Hematoxylin and eosin stain, scanned at ×20, 5 tiles from the same stomach biopsy slide, 300×300 px each.
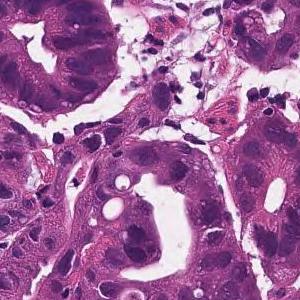
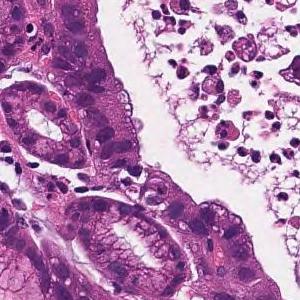
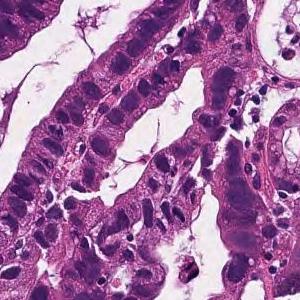
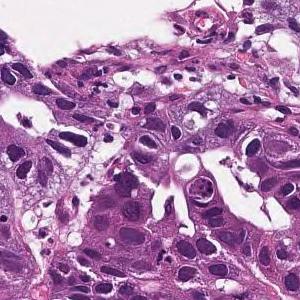
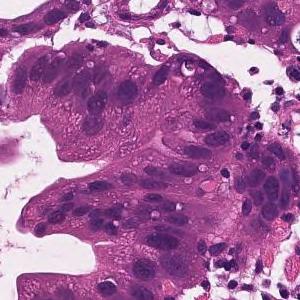
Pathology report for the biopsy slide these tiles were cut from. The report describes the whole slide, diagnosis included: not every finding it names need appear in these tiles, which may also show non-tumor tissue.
In the superficial epithelium, tumor tissue that invades by forming medium-sized to small, irregular ducts is observed. moderately differentiated tubular adenocarcinoma.
